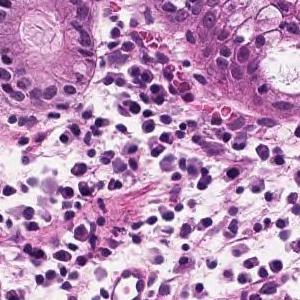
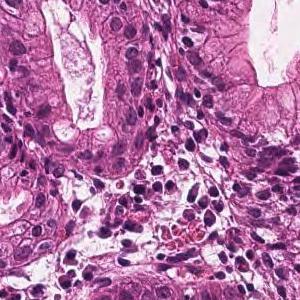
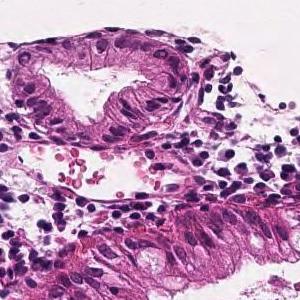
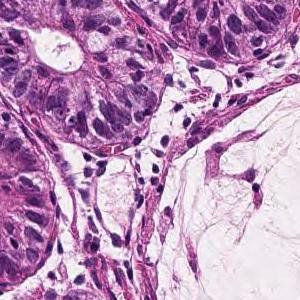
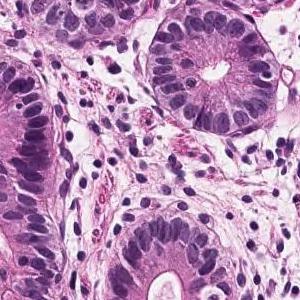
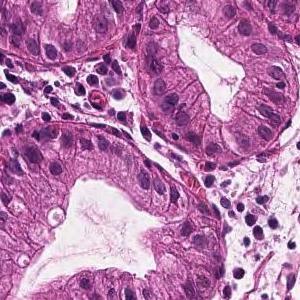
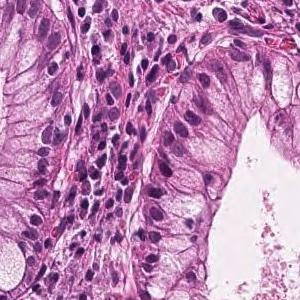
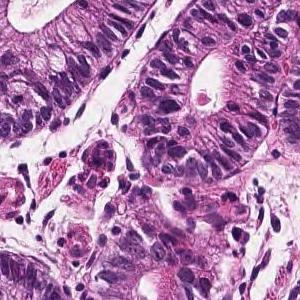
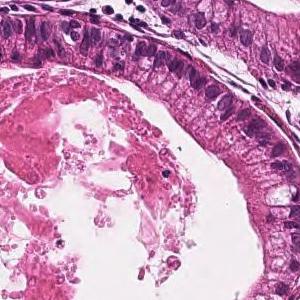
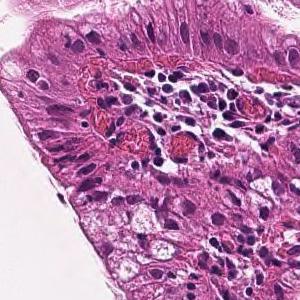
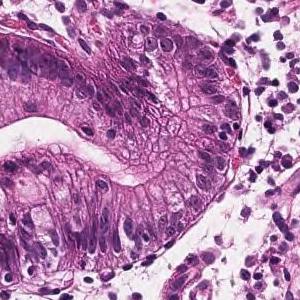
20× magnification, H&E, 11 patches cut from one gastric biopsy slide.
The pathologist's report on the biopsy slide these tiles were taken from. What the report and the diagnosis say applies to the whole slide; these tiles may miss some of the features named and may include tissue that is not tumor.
In the superficial epithelium, tumor tissue that invades by forming medium-sized to small, irregular ducts is observed. Well differentiated tubular adenocarcinoma.
